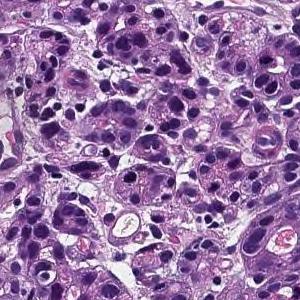
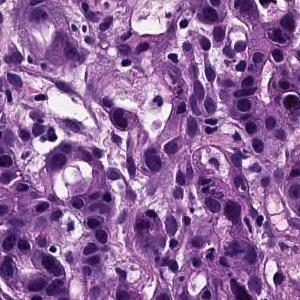
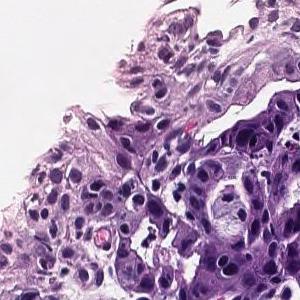
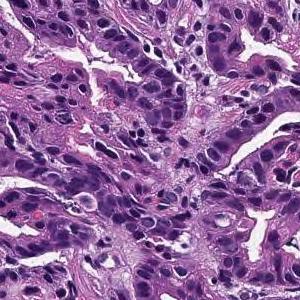
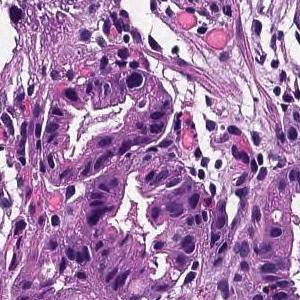
5 patches cut from one gastric biopsy slide · scanned at ×20.
Report on the slide these tiles come from. The findings and the diagnosis refer to the entire slide; these tiles show only part of it, possibly with non-tumor tissue, and may not show every feature named.
From the superficial epithelium to the muscularis mucosae, tumor tissue consisting of medium-sized and irregular glandular ducts infiltrating is observed. Well differentiated tubular adenocarcinoma
